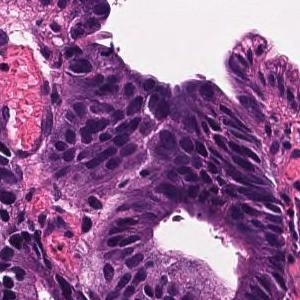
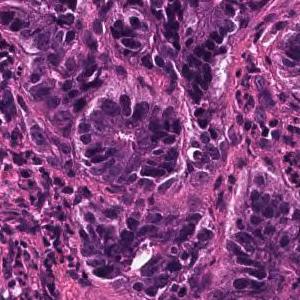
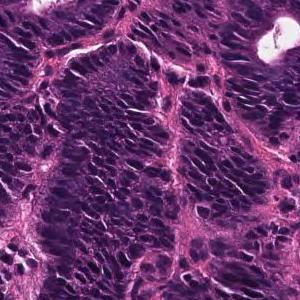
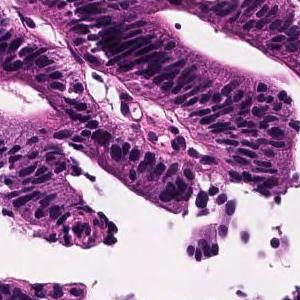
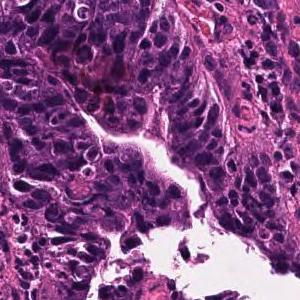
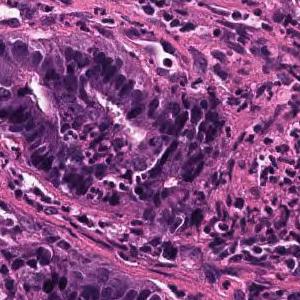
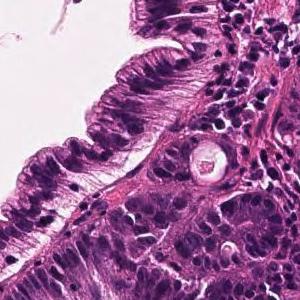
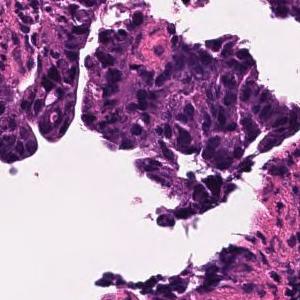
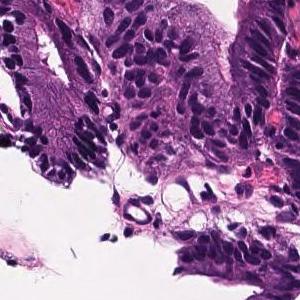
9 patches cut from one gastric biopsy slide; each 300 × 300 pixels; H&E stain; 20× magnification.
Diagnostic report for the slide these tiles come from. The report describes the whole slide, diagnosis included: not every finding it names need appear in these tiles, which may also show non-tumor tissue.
Tumor tissue that remains within the superficial epithelium and is infiltrated by large papillary or irregular ducts that fuse with each other is observed. Well differentiated tubular adenocarcinoma
